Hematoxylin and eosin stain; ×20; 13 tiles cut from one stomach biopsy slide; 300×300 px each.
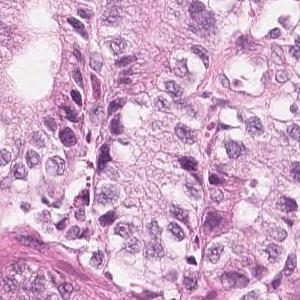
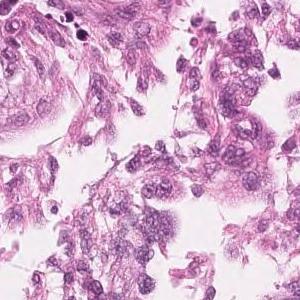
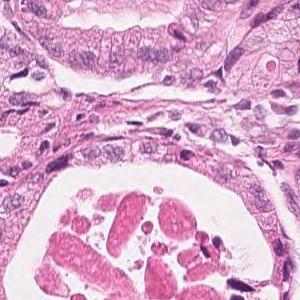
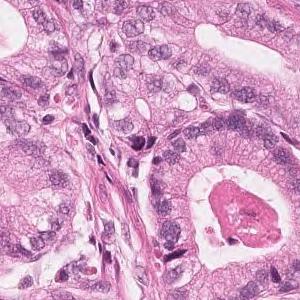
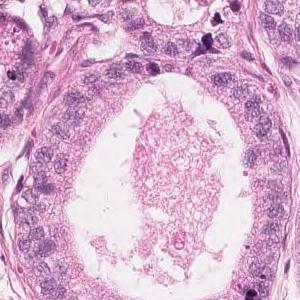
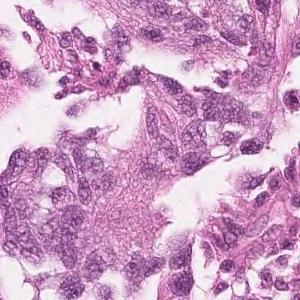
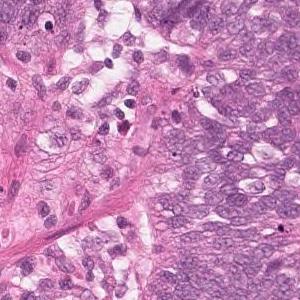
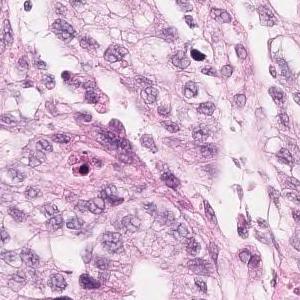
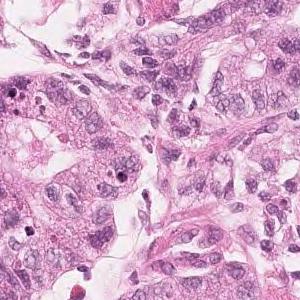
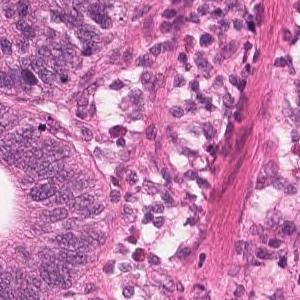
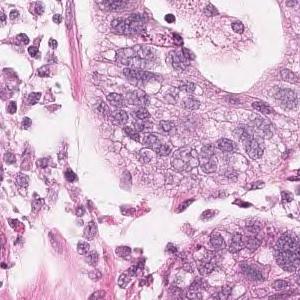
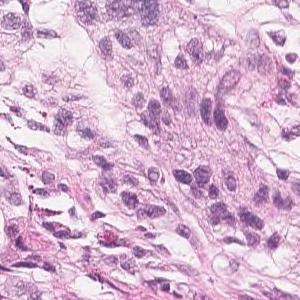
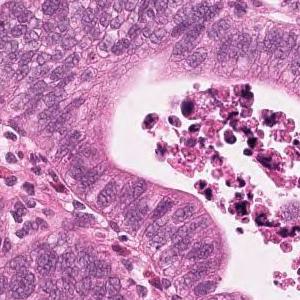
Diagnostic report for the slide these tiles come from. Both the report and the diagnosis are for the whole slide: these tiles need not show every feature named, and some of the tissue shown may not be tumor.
Highly columnar epithelium with disordered nuclear localization proliferates showing fusion ductal construction. moderately differentiated tubular adenocarcinoma
